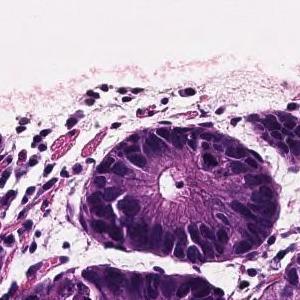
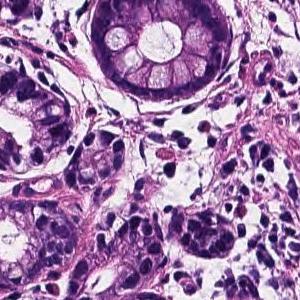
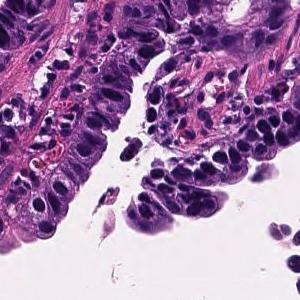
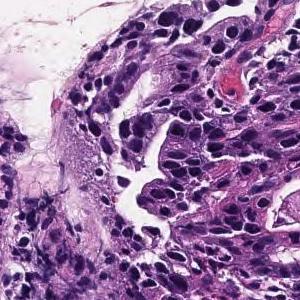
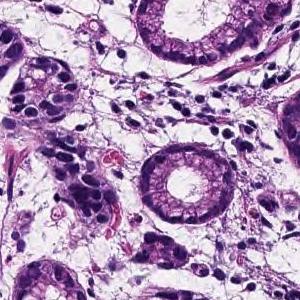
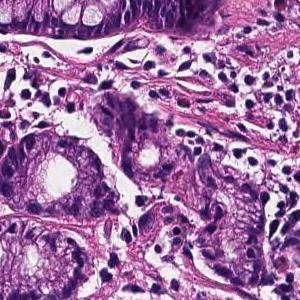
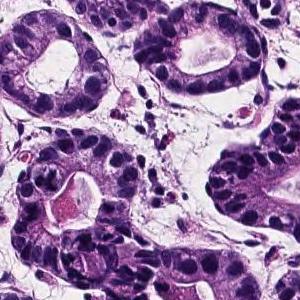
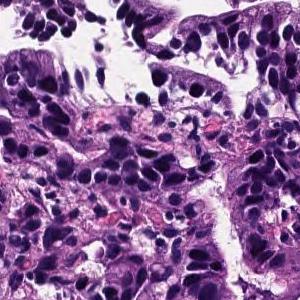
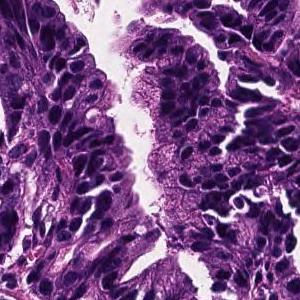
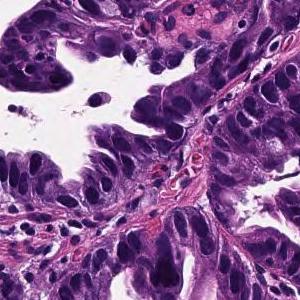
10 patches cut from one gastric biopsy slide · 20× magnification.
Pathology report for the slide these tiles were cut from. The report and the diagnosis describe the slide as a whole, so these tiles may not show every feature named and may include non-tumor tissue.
Tumor cells are large, highly columnar, large club-shaped nuclei, and are associated with chromatin aggregation. Papillary adenocarcinoma.
